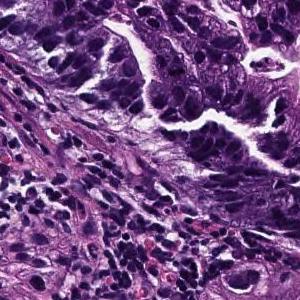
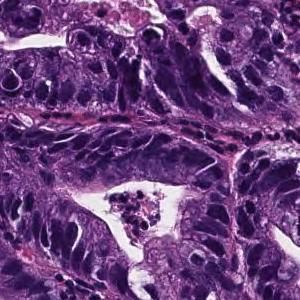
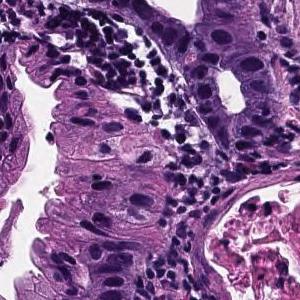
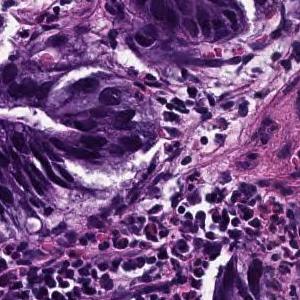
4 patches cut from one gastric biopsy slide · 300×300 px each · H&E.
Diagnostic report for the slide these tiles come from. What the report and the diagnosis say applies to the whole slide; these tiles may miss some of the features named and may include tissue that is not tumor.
In the superficial epithelium, tumor tissue that invades by forming medium-sized to small, irregular ducts is observed. Moderately differentiated adenocarcinoma.
Tumor subtype: moderately differentiated tubular adenocarcinoma.
